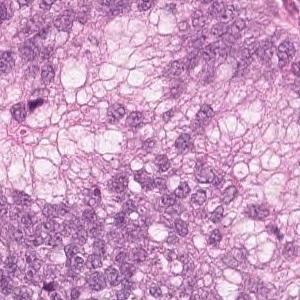
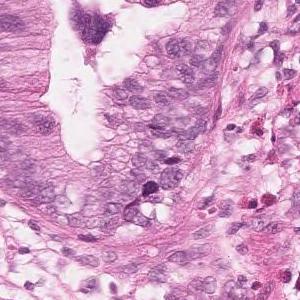
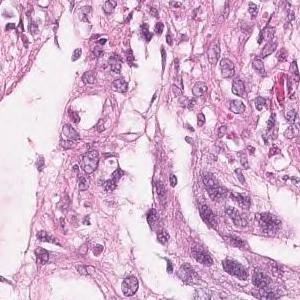
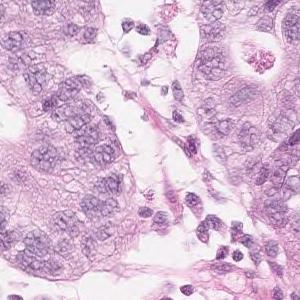
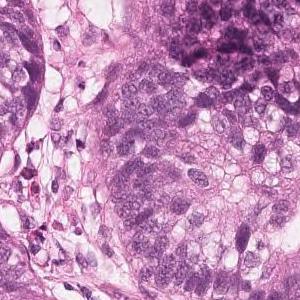
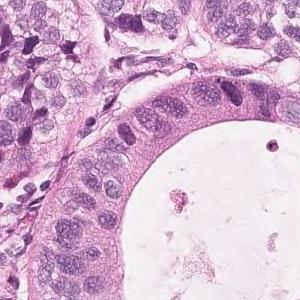
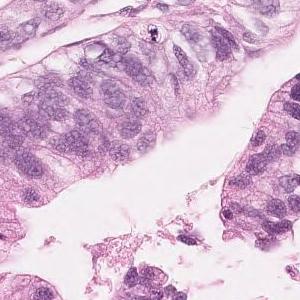
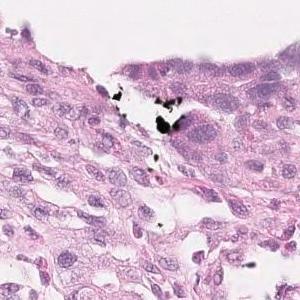
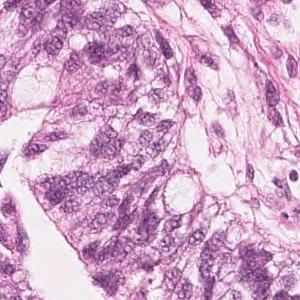
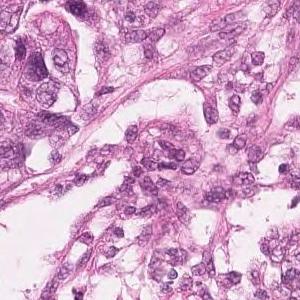
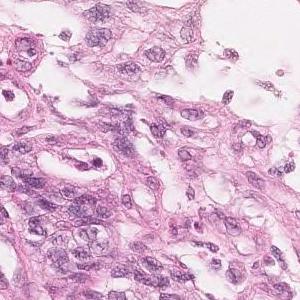
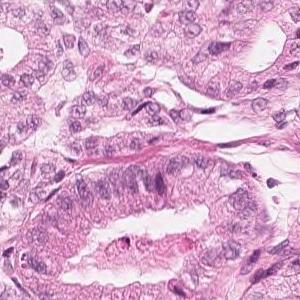
12 tiles from the same stomach biopsy slide; hematoxylin and eosin stain.
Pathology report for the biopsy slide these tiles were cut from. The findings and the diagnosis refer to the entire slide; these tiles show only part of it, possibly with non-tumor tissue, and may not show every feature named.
Highly columnar epithelium with disordered nuclear localization proliferates showing fusion ductal construction. moderately differentiated tubular adenocarcinoma
